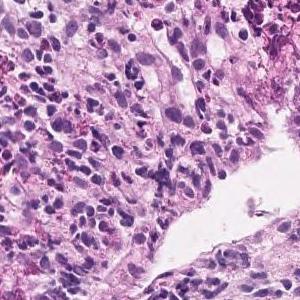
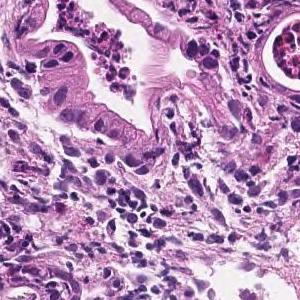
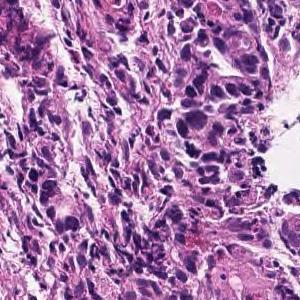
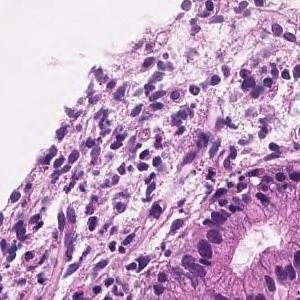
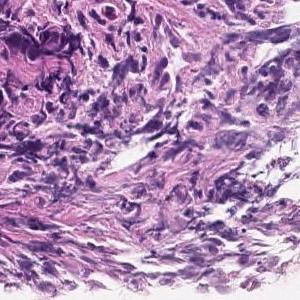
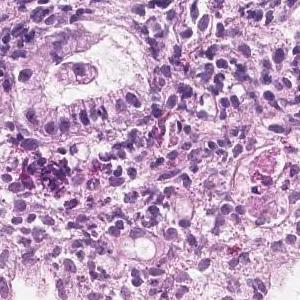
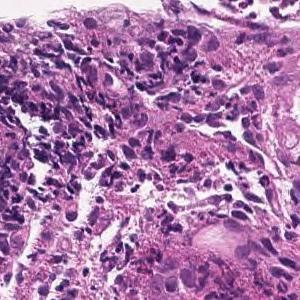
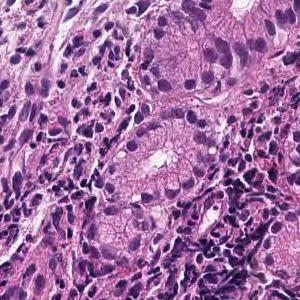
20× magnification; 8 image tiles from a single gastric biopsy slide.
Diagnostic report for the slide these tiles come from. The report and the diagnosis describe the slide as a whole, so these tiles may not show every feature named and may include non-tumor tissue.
In the superficial epithelium, tumor tissue that invades by forming medium-sized to small, irregular ducts is observed. moderately differentiated tubular adenocarcinoma.
